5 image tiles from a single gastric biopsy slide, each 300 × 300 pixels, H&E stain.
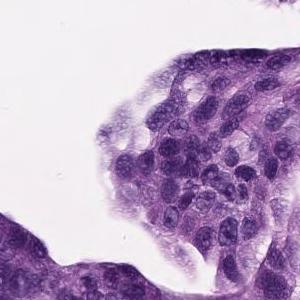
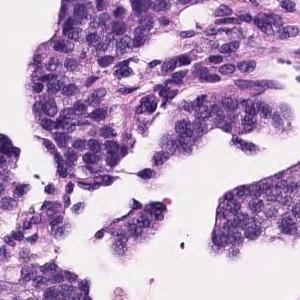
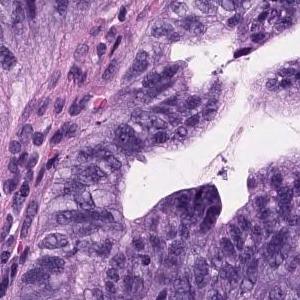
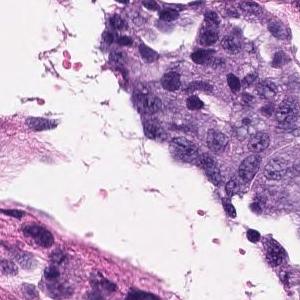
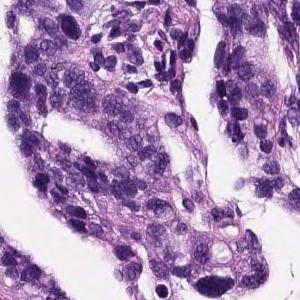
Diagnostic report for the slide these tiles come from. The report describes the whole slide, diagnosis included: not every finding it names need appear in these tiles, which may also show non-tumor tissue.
Tumor cells are large, highly columnar, large club-shaped nuclei, and are associated with chromatin aggregation. Papillary adenocarcinoma.
